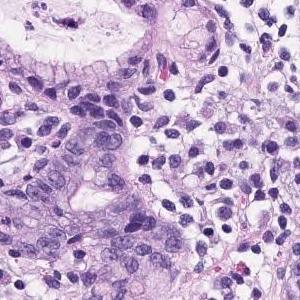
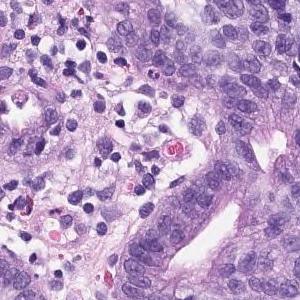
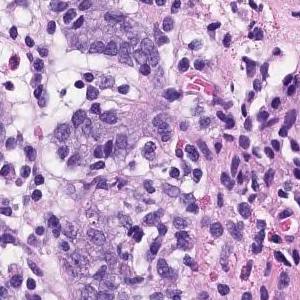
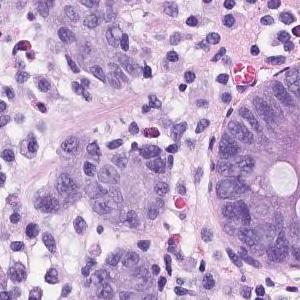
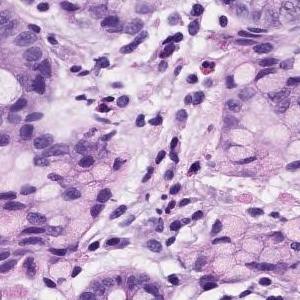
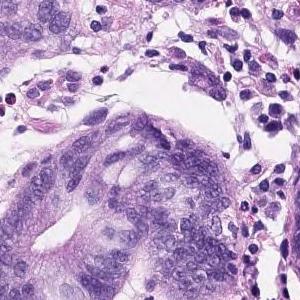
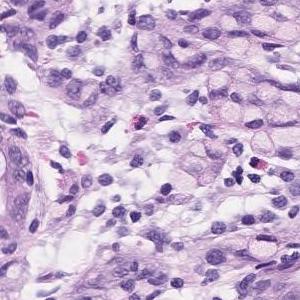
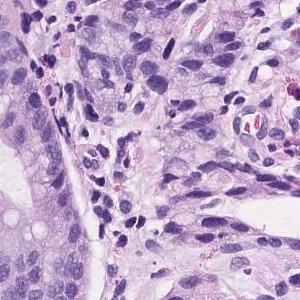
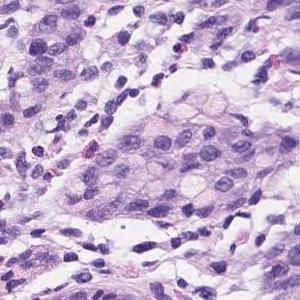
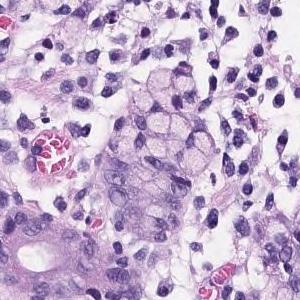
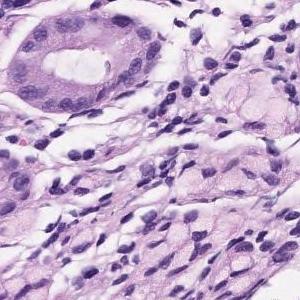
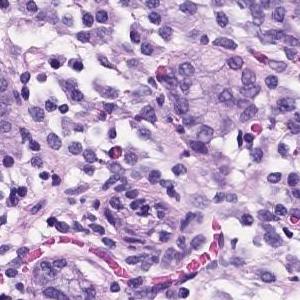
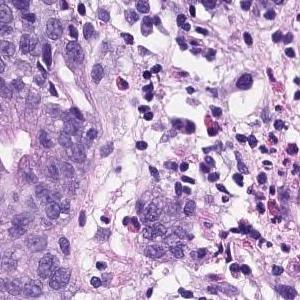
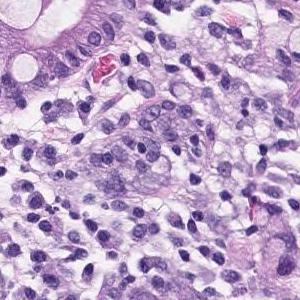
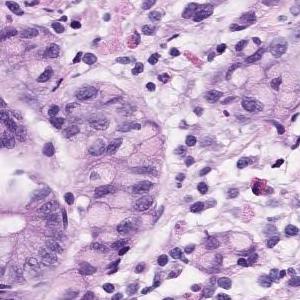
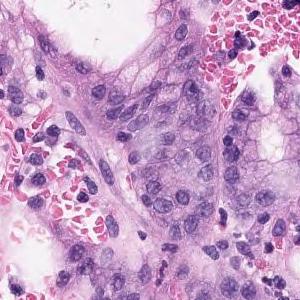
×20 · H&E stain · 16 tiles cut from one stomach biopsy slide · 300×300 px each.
Report on the slide these tiles come from. Both the report and the diagnosis are for the whole slide: these tiles need not show every feature named, and some of the tissue shown may not be tumor.
Atypical l cells with atypical nuclei forming diffuse or small irregular atypical ducts and growing. Moderately to poorly differentiated adenocarcinoma (poorly differentiated adenocarcinoma, solid type moderately differentiated tubular adenocarcinoma)
Classified as moderately to poorly differentiated adenocarcinoma.
The term "solid type" comes from the Japanese Classification of Gastric Carcinoma; the WHO 2019 equivalent is tubular adenocarcinoma, poorly differentiated.
